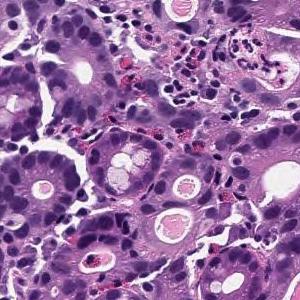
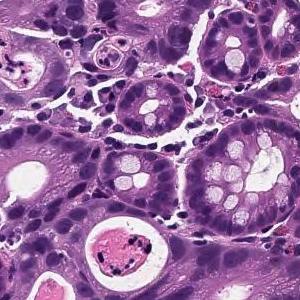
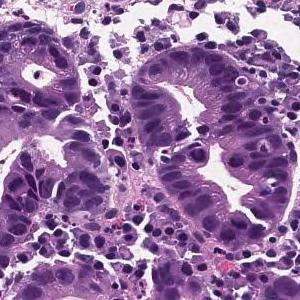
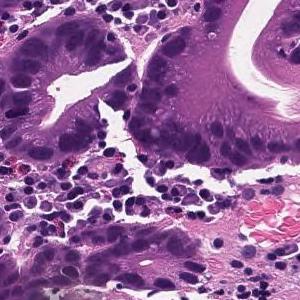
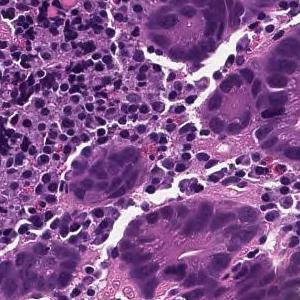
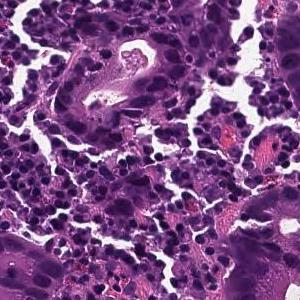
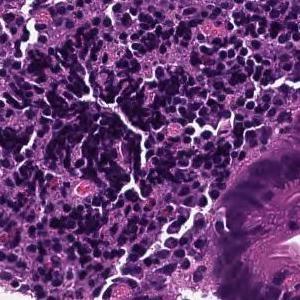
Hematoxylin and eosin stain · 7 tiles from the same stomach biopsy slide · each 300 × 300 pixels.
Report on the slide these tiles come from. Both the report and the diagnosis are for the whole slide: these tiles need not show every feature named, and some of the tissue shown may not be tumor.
Cancer cells with strongly atypical nuclei grow while forming ducts showing lumens of various sizes. moderately differentiated tubular adenocarcinoma
